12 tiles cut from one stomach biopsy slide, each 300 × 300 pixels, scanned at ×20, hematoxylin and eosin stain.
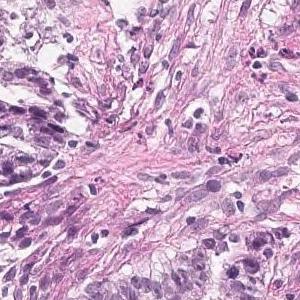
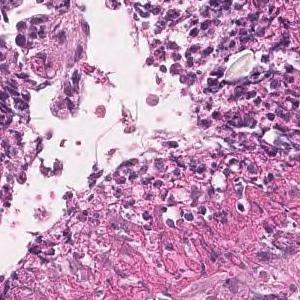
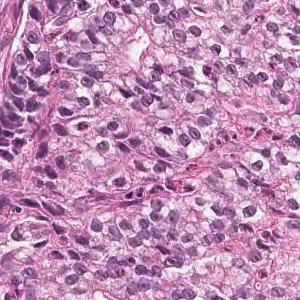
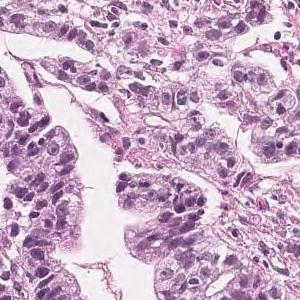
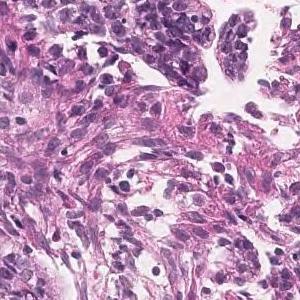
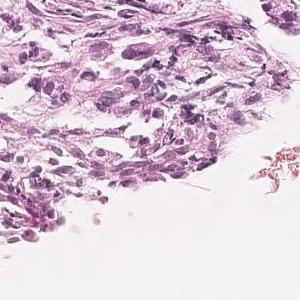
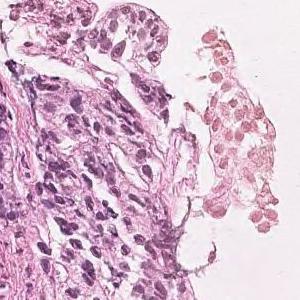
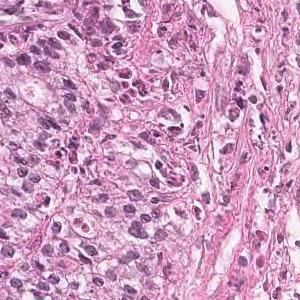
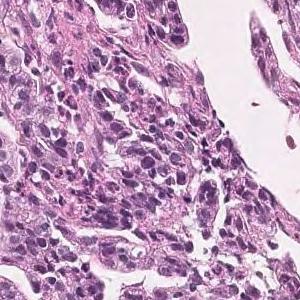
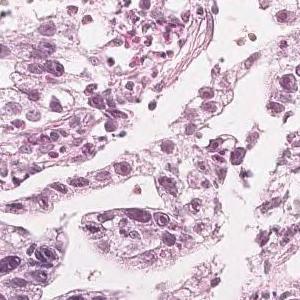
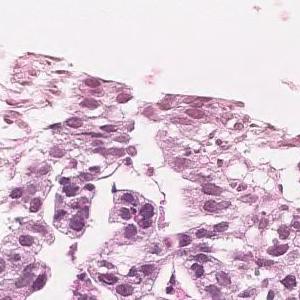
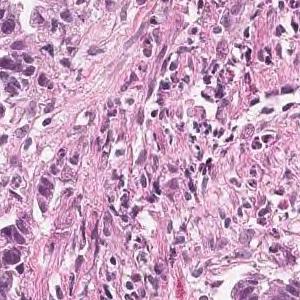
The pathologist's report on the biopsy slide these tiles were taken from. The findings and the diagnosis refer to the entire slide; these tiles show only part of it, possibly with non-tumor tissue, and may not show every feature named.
Tumor tissue in which highly columnar atypical epithelial cells with nuclear enlargement and increased nuclear chromatin show papillary to papillary ductal structure and proliferate is observed. Papillary adenocarcinoma.
